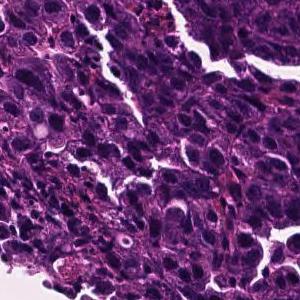
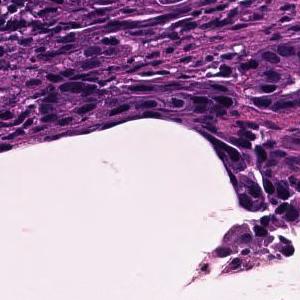
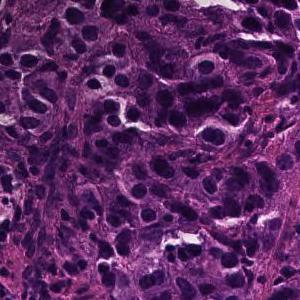
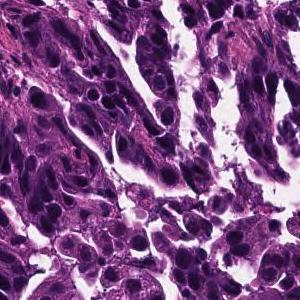
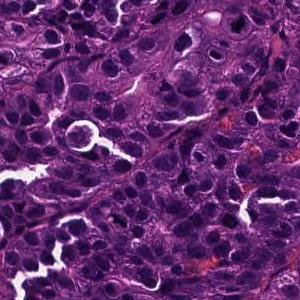
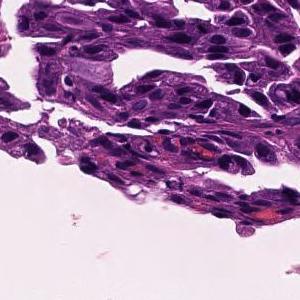
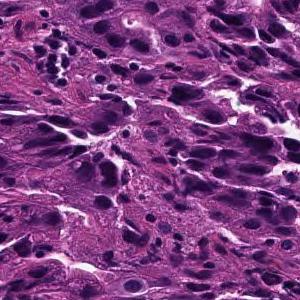
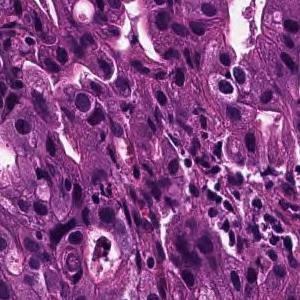
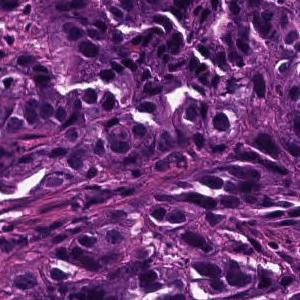
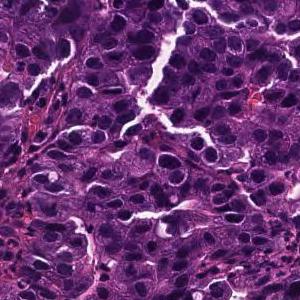
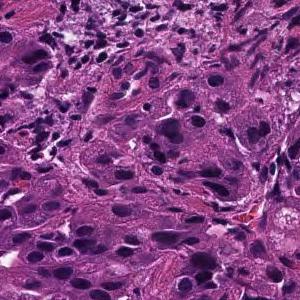
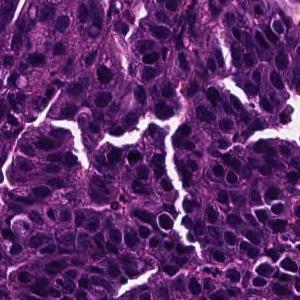
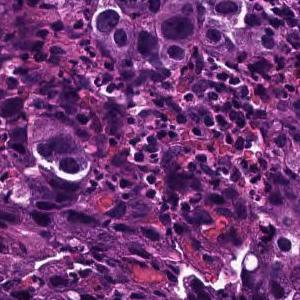
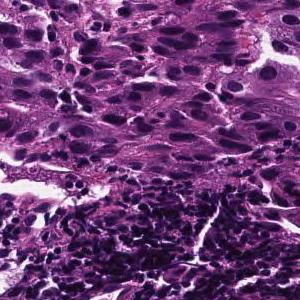
14 tiles from the same stomach biopsy slide; 300 × 300 pixels each; 20× magnification.
Report on the slide these tiles come from. The findings and the diagnosis refer to the entire slide; these tiles show only part of it, possibly with non-tumor tissue, and may not show every feature named.
Tumor tissue consisting of medium-sized, cord-like or irregular glandular fusion and infiltration is observed in the superficial epithelium. Poorly differentiated adenocarcinoma, non-solid type or moderately differentiated tubular adenocarcinoma
Classified as moderately to poorly differentiated adenocarcinoma.
The non-solid type named here is a Japanese Classification of Gastric Carcinoma category.
